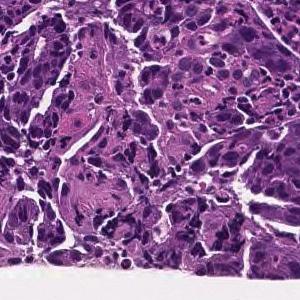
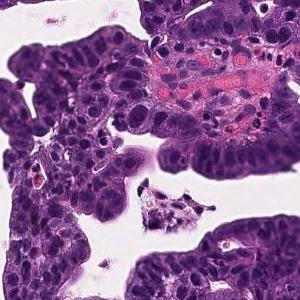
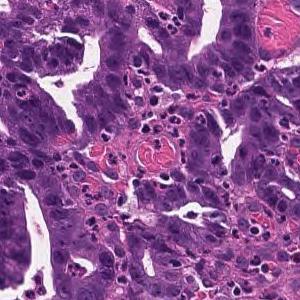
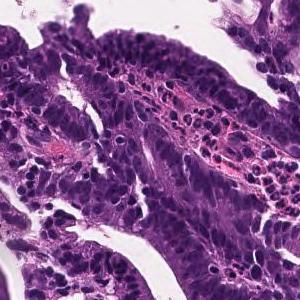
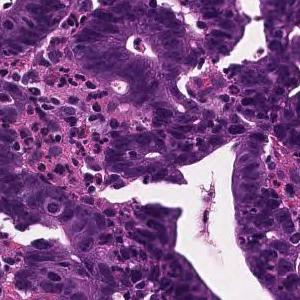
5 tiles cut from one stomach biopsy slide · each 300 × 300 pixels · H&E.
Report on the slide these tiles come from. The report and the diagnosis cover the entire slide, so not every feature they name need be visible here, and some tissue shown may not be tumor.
Tumor cells are large, highly columnar, large club-shaped nuclei, and are associated with chromatin aggregation. Papillary adenocarcinoma.
